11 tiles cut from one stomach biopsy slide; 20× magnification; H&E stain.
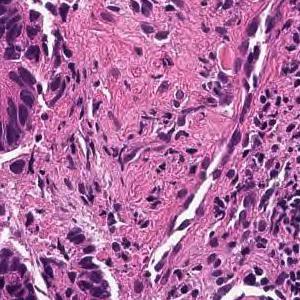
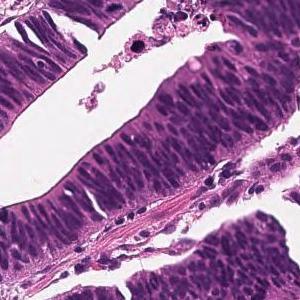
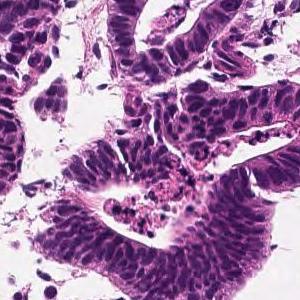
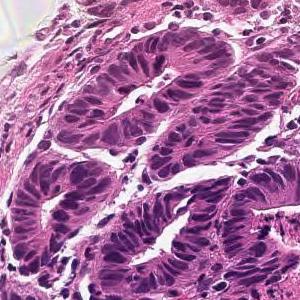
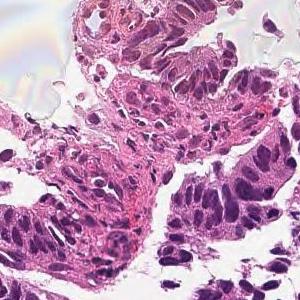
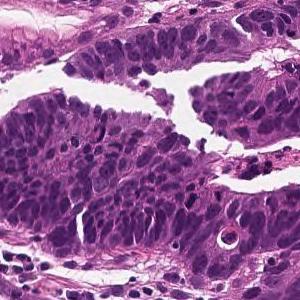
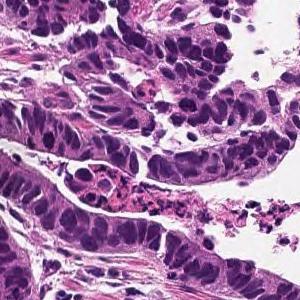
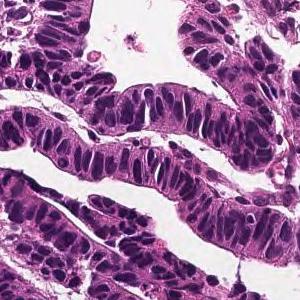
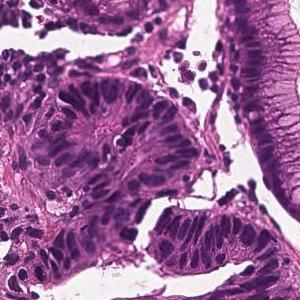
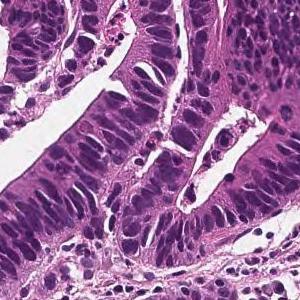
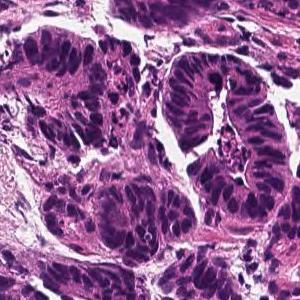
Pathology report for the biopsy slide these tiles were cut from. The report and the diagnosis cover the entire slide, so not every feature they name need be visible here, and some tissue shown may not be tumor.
From the superficial epithelium to the muscularis mucosae, tumor tissue consisting of medium-sized and irregular glandular ducts infiltrating is observed. Well differentiated tubular adenocarcinoma
